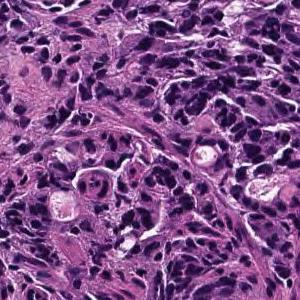
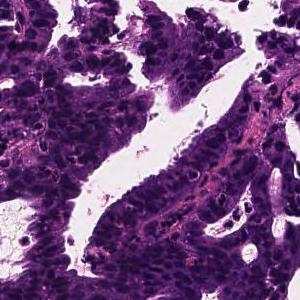
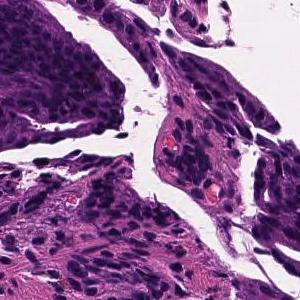
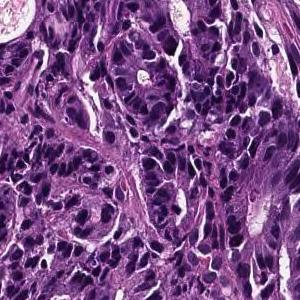
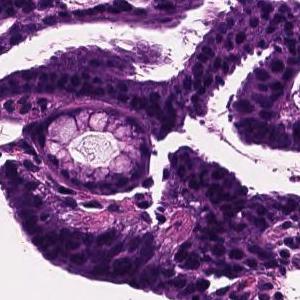
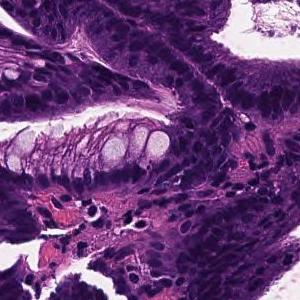
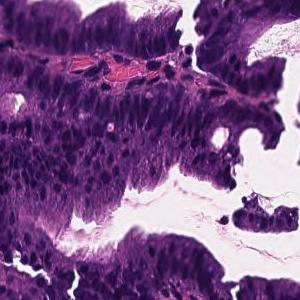
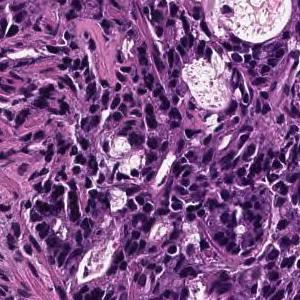
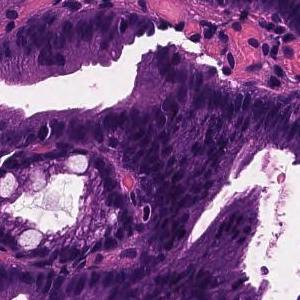
9 tiles from the same stomach biopsy slide, 20× magnification.
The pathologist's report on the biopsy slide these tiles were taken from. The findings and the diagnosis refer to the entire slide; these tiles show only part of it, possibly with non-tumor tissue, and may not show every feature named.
In the superficial epithelium, tumor tissue that invades by forming medium-sized to small, irregular ducts is observed. moderately differentiated tubular adenocarcinoma.
